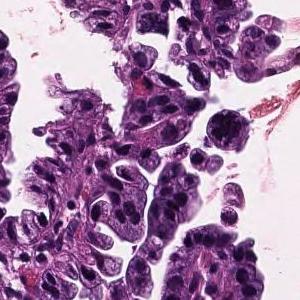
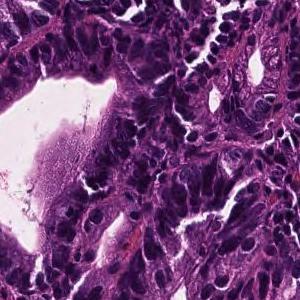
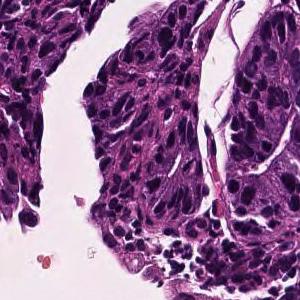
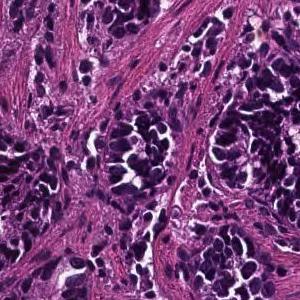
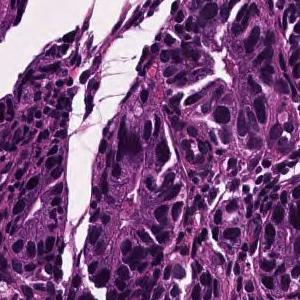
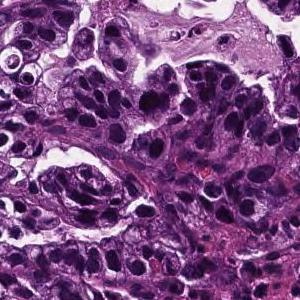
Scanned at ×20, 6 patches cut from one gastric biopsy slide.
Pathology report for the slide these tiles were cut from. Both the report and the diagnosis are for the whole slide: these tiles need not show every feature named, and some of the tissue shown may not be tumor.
In the superficial epithelium, tumor tissue that invades by forming medium-sized to small, irregular ducts is observed. Well differentiated tubular adenocarcinoma.
